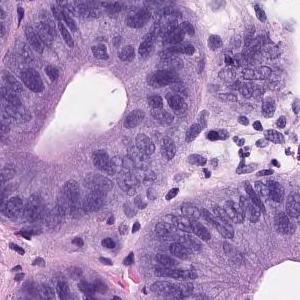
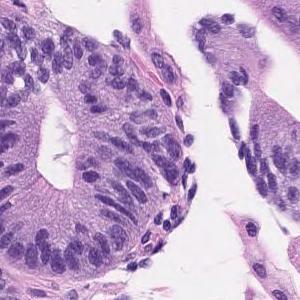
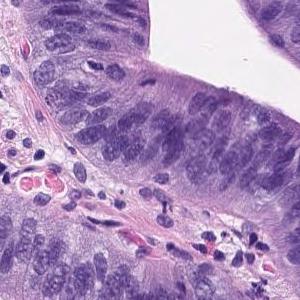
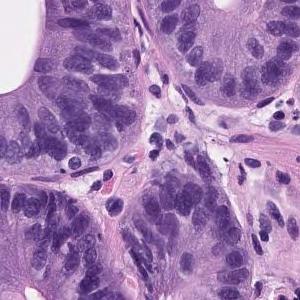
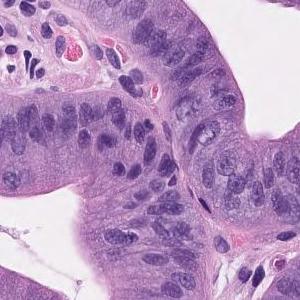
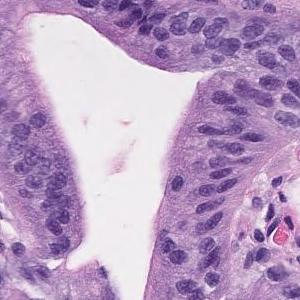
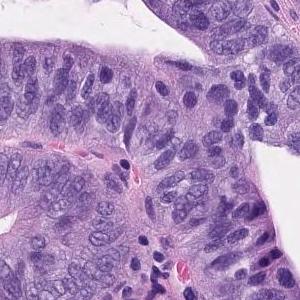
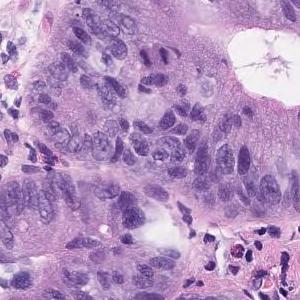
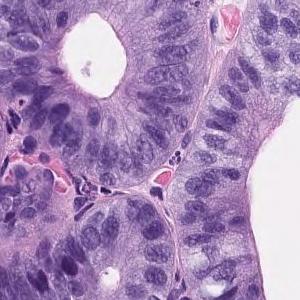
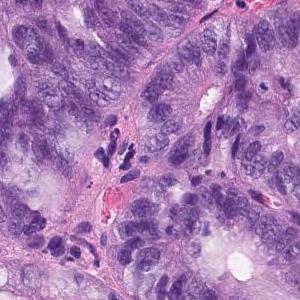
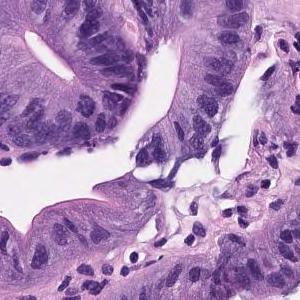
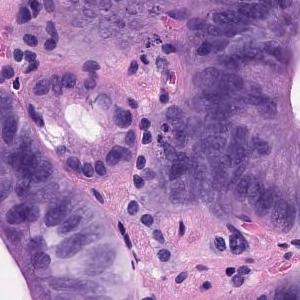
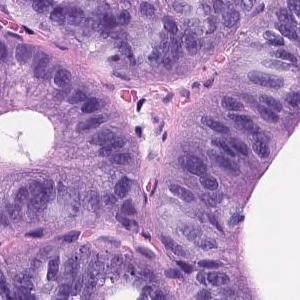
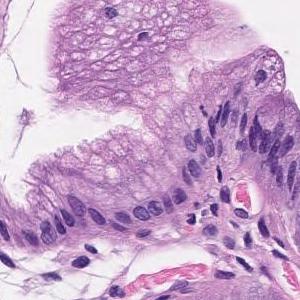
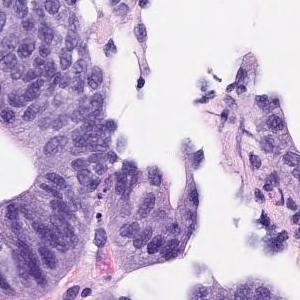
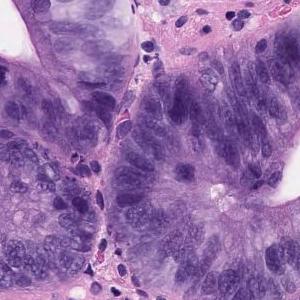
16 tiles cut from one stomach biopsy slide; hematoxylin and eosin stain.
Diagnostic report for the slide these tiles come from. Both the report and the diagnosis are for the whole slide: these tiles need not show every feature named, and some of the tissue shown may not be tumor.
On the superficial epithelium, tumor tissue consisting of images of atypical ducts of different sizes partially fused and densely proliferating is observed. Well differentiated tubular adenocarcinoma
